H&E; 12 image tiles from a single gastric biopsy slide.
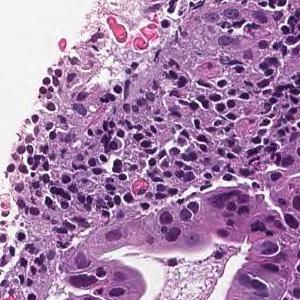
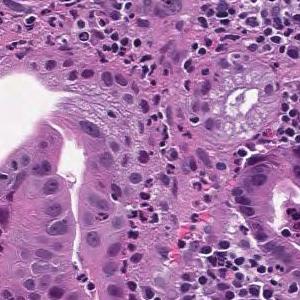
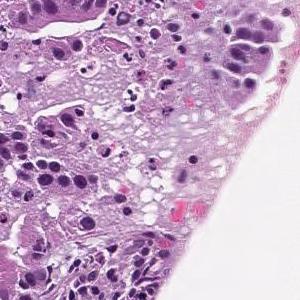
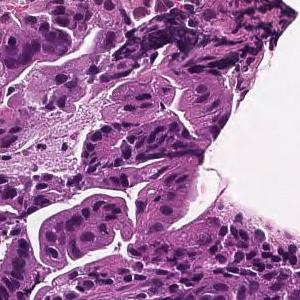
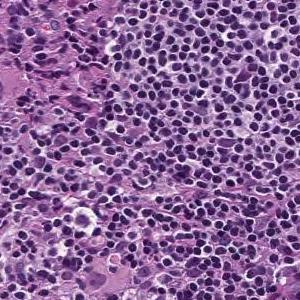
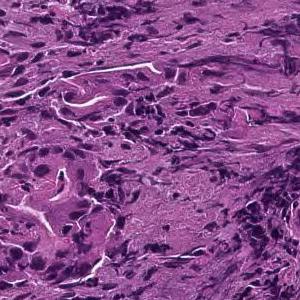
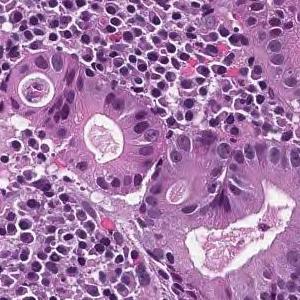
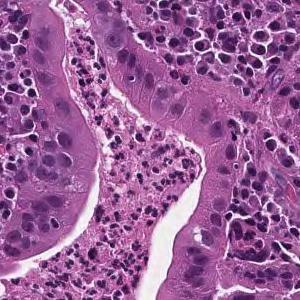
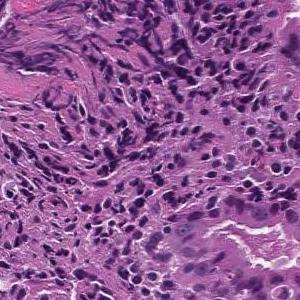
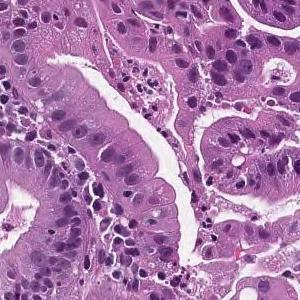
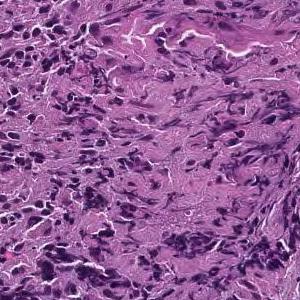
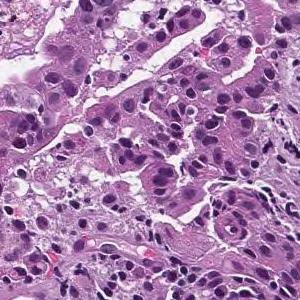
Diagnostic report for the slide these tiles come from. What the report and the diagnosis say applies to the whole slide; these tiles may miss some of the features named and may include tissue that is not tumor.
From the superficial epithelium to the muscularis mucosae, tumor tissue consisting of medium-sized and irregular glandular ducts infiltrating is observed. Well differentiated tubular adenocarcinoma
